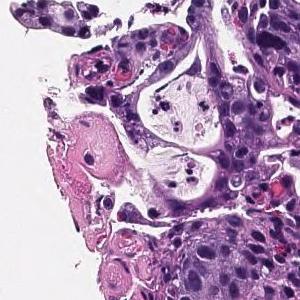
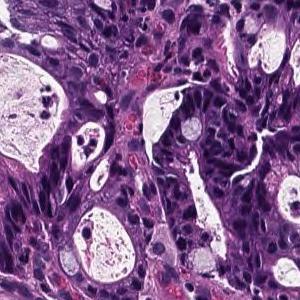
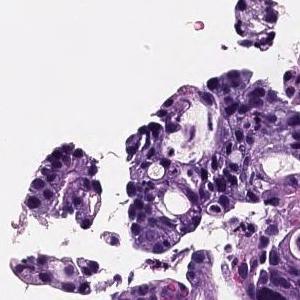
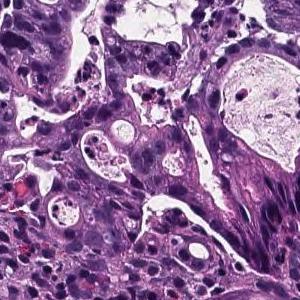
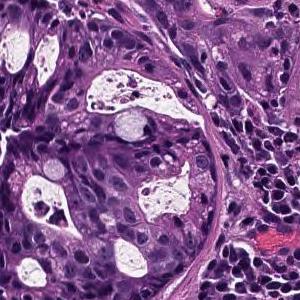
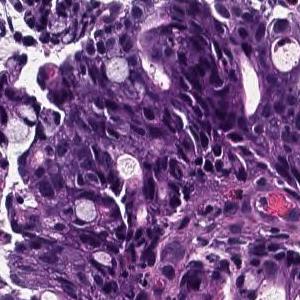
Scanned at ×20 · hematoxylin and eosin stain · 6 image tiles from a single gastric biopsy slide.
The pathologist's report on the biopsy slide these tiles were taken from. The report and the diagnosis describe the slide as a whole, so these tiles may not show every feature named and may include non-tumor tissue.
On the superficial epithelium, tumor tissue is found in which medium-sized irregular gland ducts fuse with each other and infiltrate. moderately differentiated tubular adenocarcinoma
